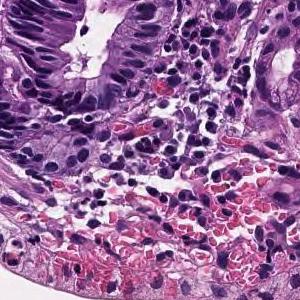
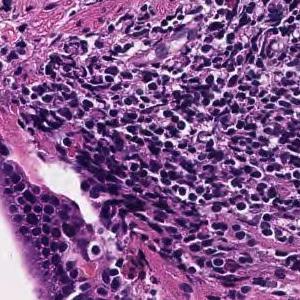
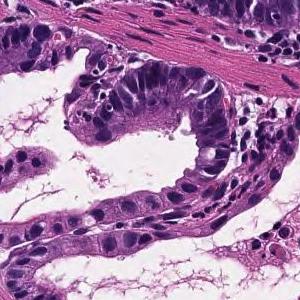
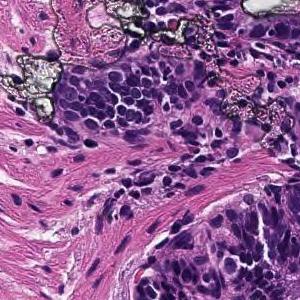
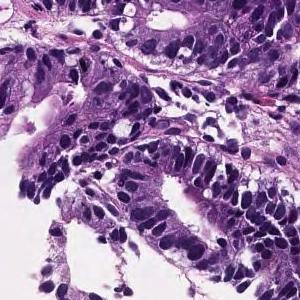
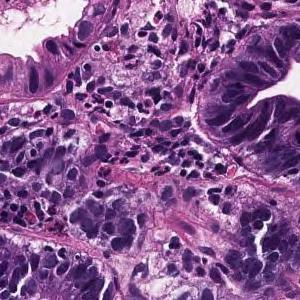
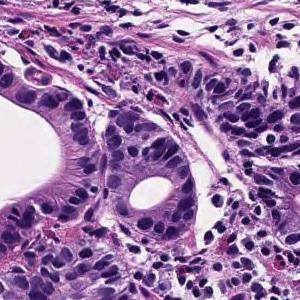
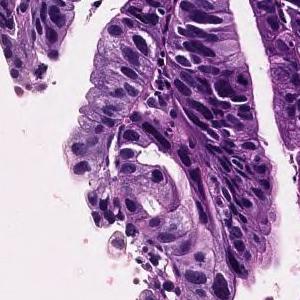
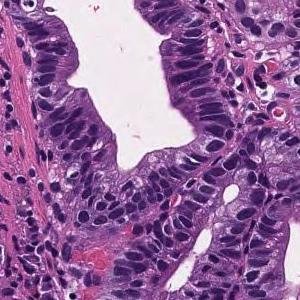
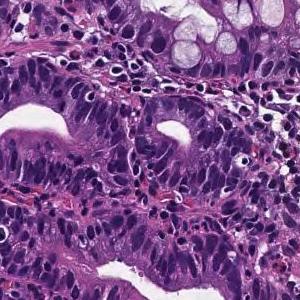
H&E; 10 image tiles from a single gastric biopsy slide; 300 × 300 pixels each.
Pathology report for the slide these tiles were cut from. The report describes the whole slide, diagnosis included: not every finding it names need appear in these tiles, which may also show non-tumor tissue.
In the superficial epithelium, tumor tissue that invades by forming medium-sized to small, irregular ducts is observed. Well differentiated tubular adenocarcinoma.
